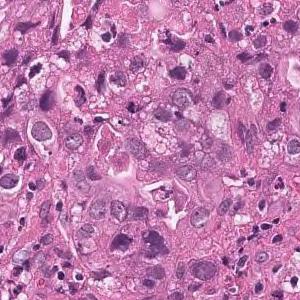
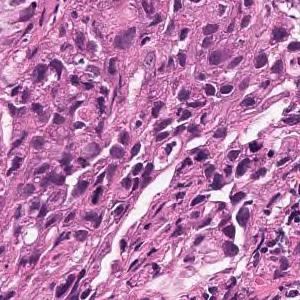
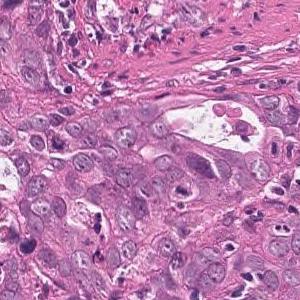
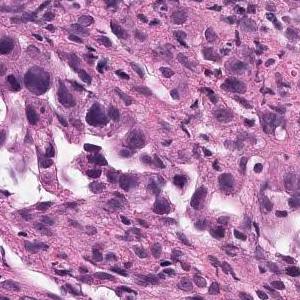
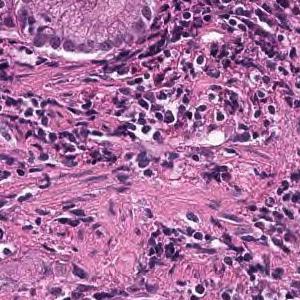
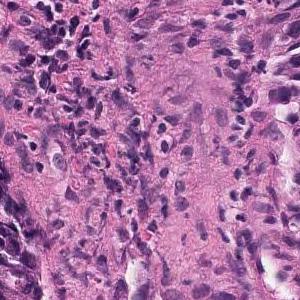
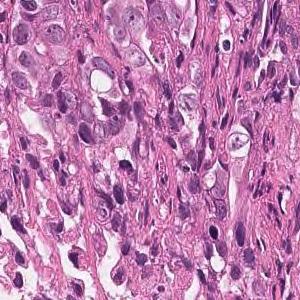
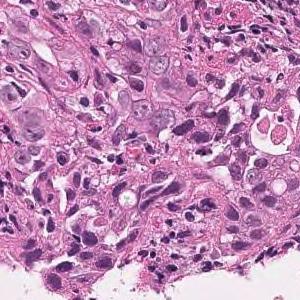
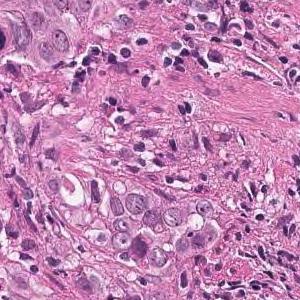
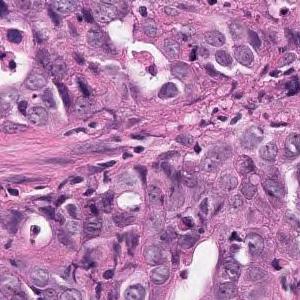
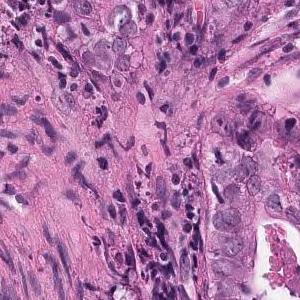
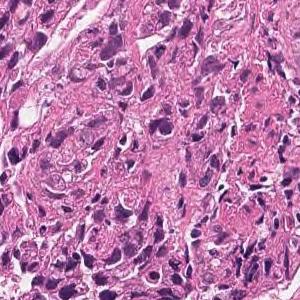
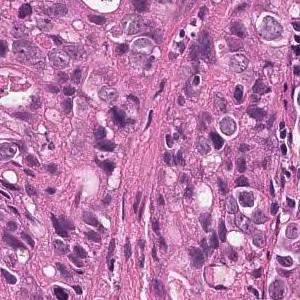
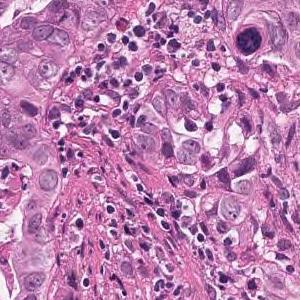
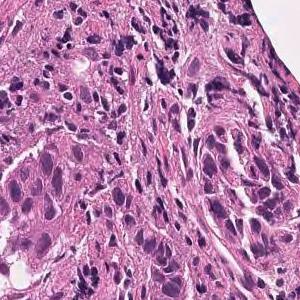
15 patches cut from one gastric biopsy slide · H&E.
Diagnostic report for the slide these tiles come from. The findings and the diagnosis refer to the entire slide; these tiles show only part of it, possibly with non-tumor tissue, and may not show every feature named.
Tumor tissue that infiltrates and proliferates with alveolar or cord-like structures with small glandular cavities in the superficial to submucosal layers is observed. moderately differentiated tubular adenocarcinoma
